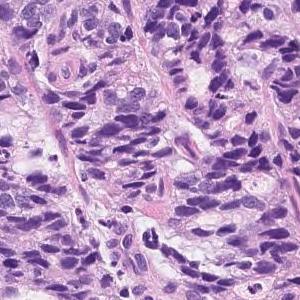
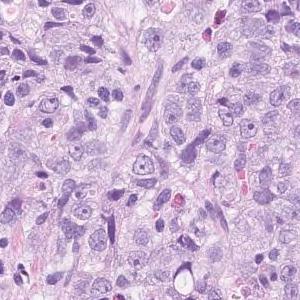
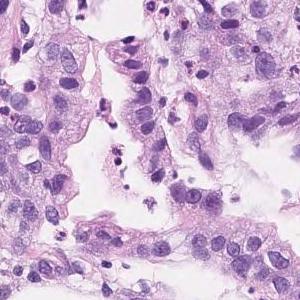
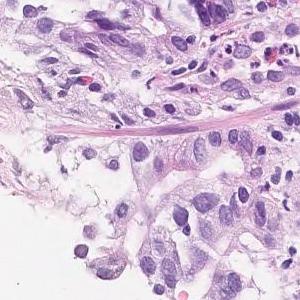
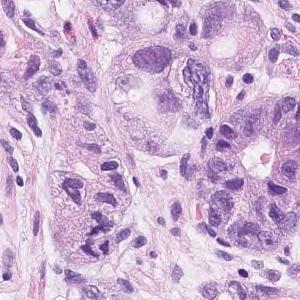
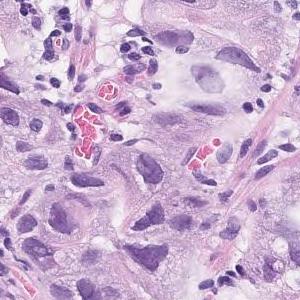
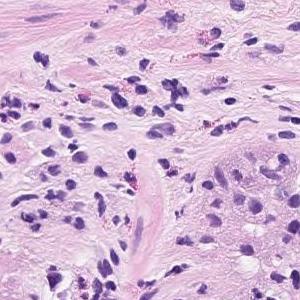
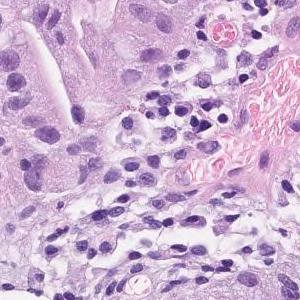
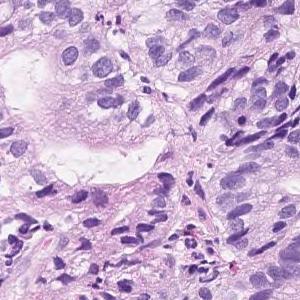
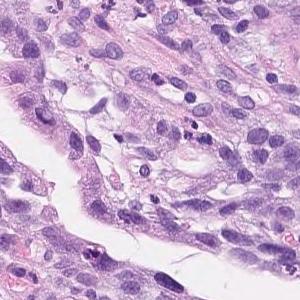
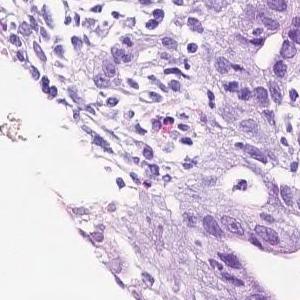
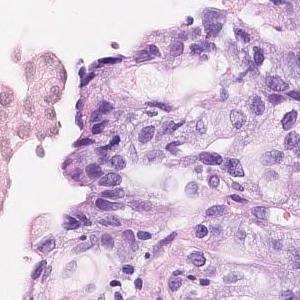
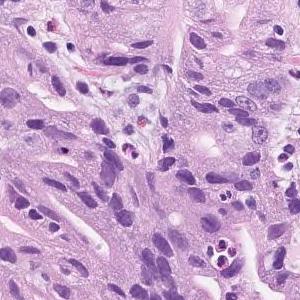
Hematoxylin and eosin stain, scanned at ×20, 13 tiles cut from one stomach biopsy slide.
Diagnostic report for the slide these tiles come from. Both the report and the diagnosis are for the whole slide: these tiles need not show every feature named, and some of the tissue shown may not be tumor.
In the superficial epithelium, tumor tissue that invades by forming medium-sized to small, irregular ducts is observed. Moderately to poorly differentiated adenocarcinoma
